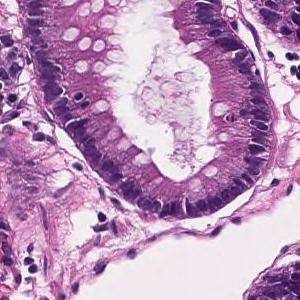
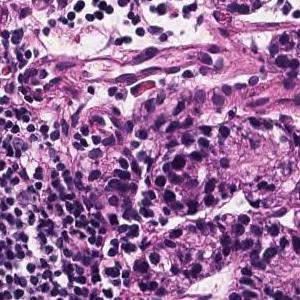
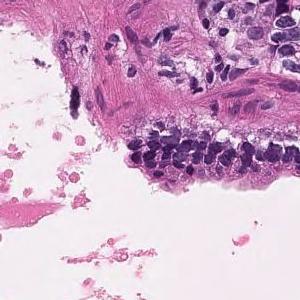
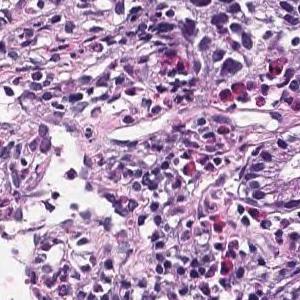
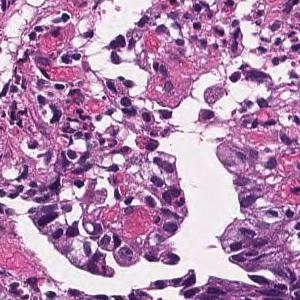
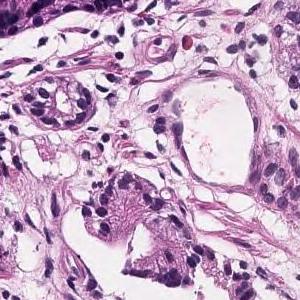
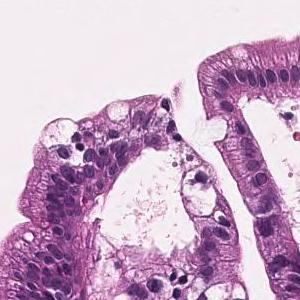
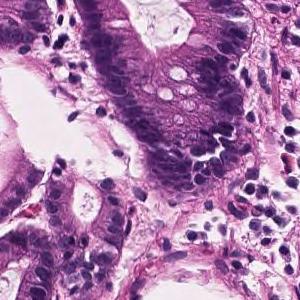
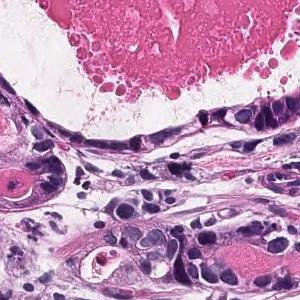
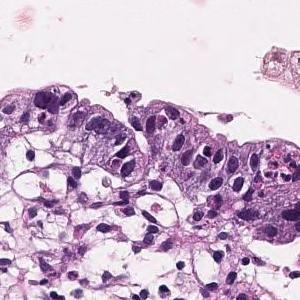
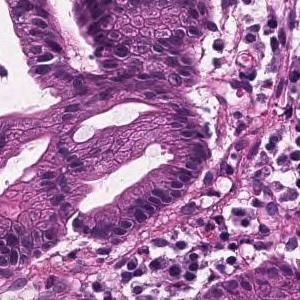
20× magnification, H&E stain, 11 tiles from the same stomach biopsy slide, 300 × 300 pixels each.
Diagnostic report for the slide these tiles come from. What the report and the diagnosis say applies to the whole slide; these tiles may miss some of the features named and may include tissue that is not tumor.
Tumor tissue consisting of medium-sized and irregular ducts is observed infiltrating in the superficial epithelium. Tumor cells are highly columnar, with nuclei aligned basolaterally and polarized. Well differentiated tubular adenocarcinoma.
